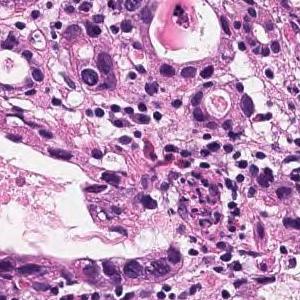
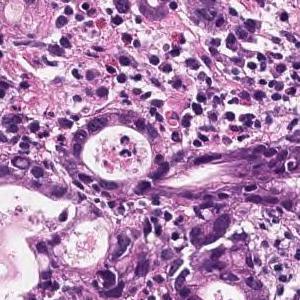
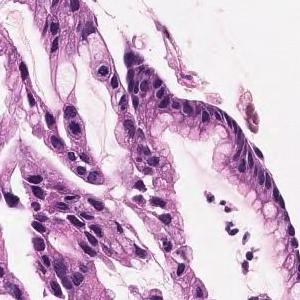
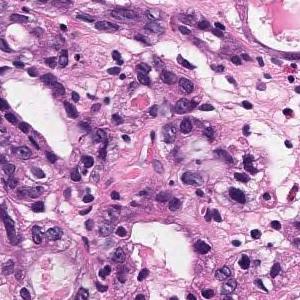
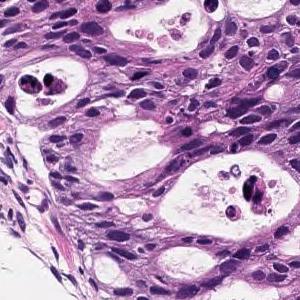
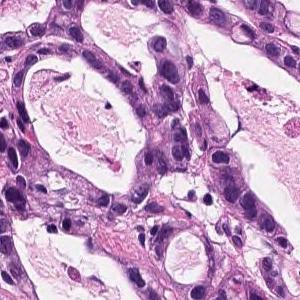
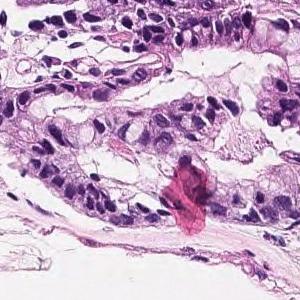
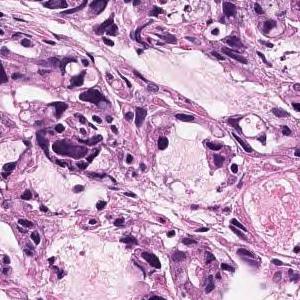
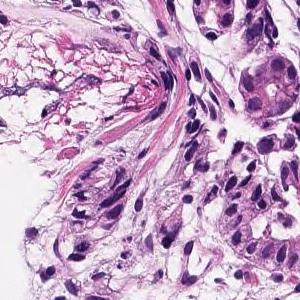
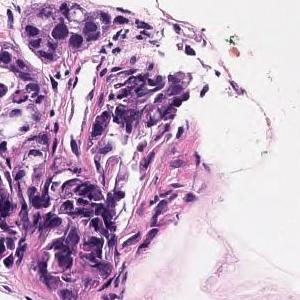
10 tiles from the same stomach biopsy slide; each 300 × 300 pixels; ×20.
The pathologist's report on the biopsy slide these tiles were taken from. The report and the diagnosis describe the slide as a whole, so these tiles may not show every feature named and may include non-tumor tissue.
In the superficial epithelium, tumor tissue that invades by forming medium-sized to small, irregular ducts is observed. Moderately differentiated adenocarcinoma.
Classified as moderately differentiated tubular adenocarcinoma.
